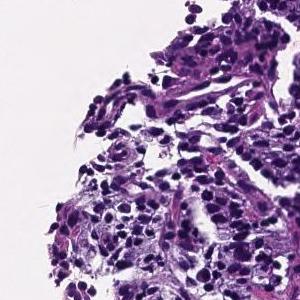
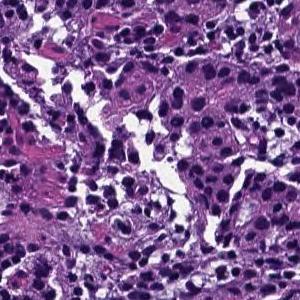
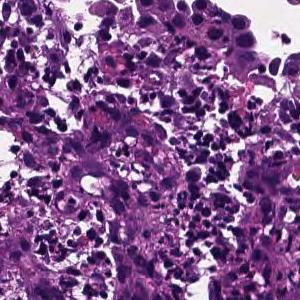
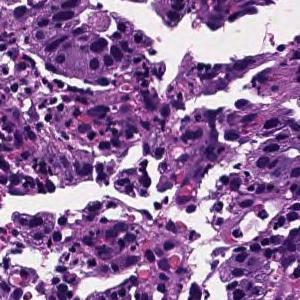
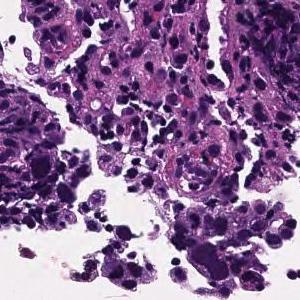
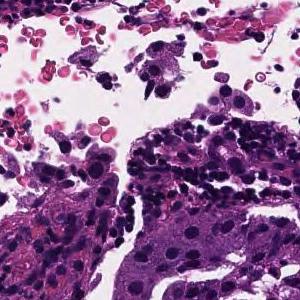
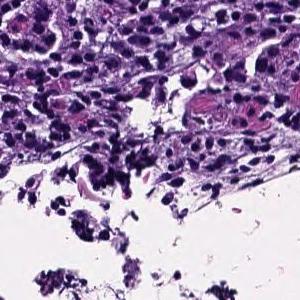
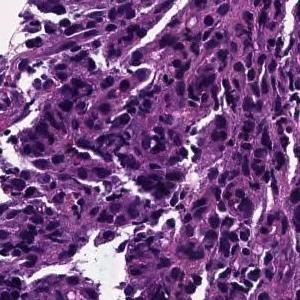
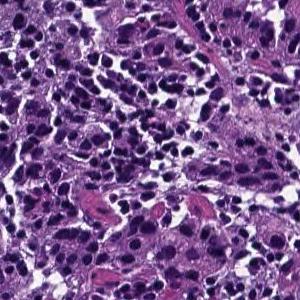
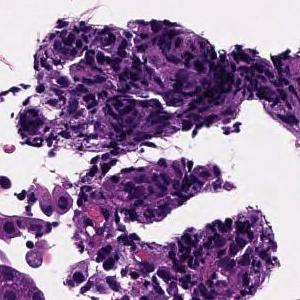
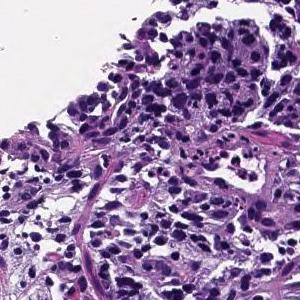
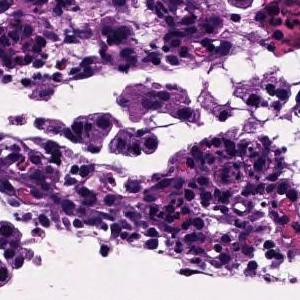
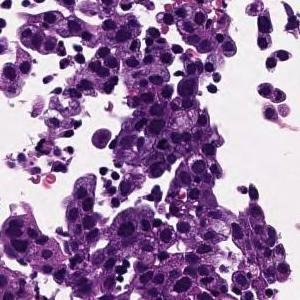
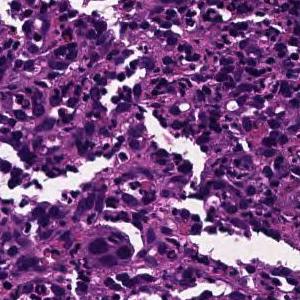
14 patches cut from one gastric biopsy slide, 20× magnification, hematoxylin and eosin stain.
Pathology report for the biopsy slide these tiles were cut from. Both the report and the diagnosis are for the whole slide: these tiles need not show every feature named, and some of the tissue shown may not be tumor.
Tumor tissue consisting of cord-like or small, irregular glandular ducts fused and infiltrated is observed in the superficial epithelium. Poorly differentiated adenocarcinoma, non-solid type
The non-solid type named here is a Japanese Classification of Gastric Carcinoma category.
